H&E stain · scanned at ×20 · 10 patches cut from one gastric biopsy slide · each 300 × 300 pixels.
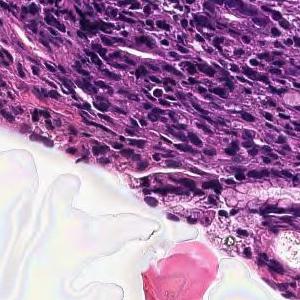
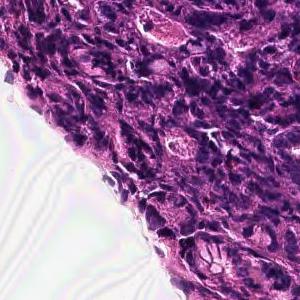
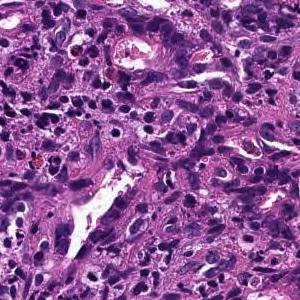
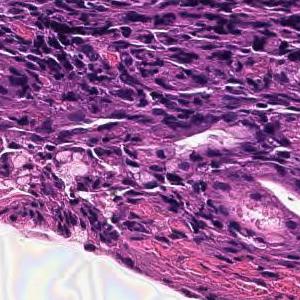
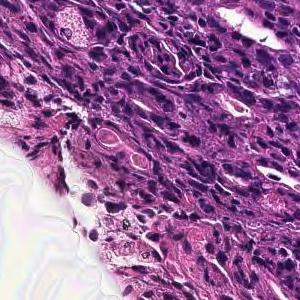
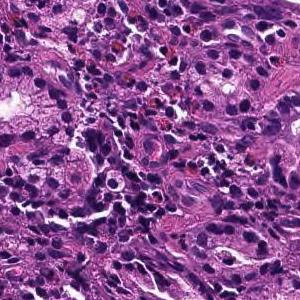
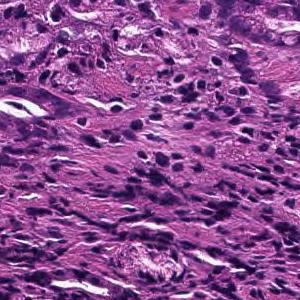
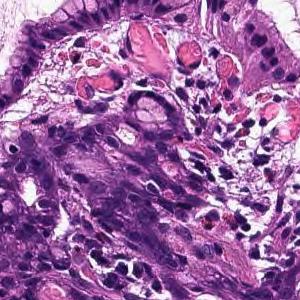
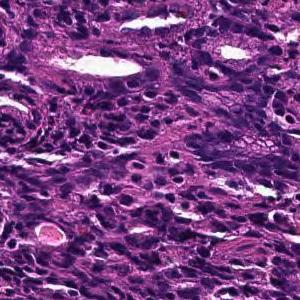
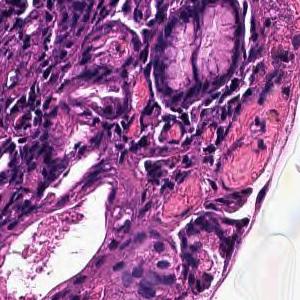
Report on the slide these tiles come from. The report and the diagnosis cover the entire slide, so not every feature they name need be visible here, and some tissue shown may not be tumor.
In the superficial epithelium, tumor tissue that invades by forming medium-sized to small, irregular ducts is observed. moderately differentiated tubular adenocarcinoma.
